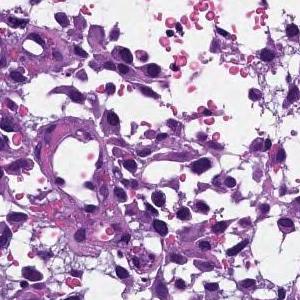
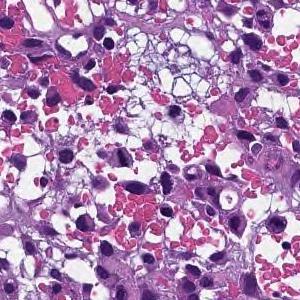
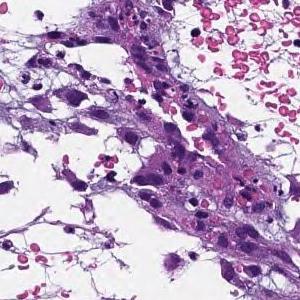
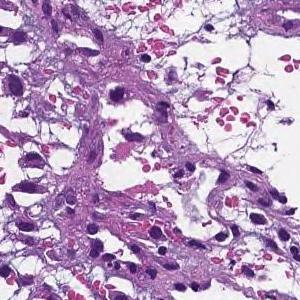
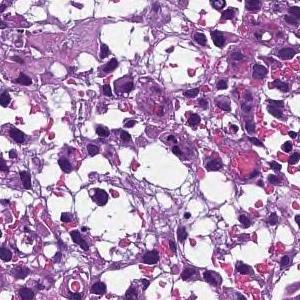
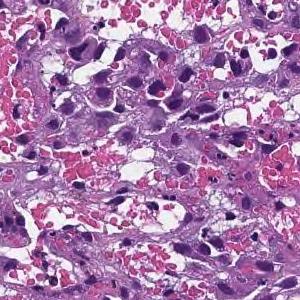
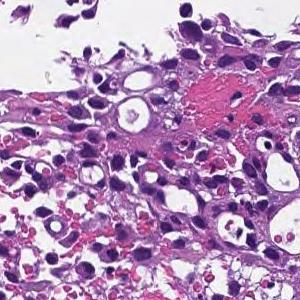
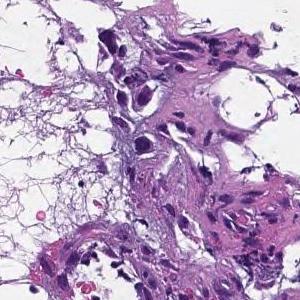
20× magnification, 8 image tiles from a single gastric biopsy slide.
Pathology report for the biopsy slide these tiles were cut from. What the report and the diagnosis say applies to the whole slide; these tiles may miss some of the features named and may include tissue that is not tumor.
Tumor tissue consisting of cord-like or small, irregular glandular ducts fused and infiltrated is observed in the superficial epithelium. Poorly differentiated adenocarcinoma, non-solid type
The term "non-solid type" comes from the Japanese Classification of Gastric Carcinoma.
